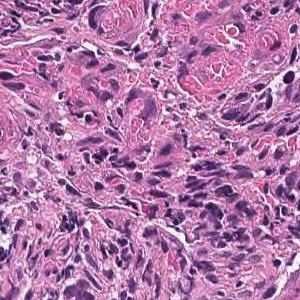
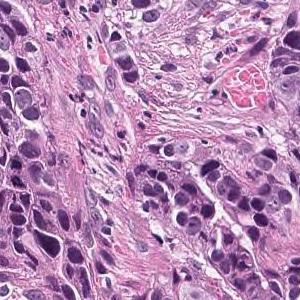
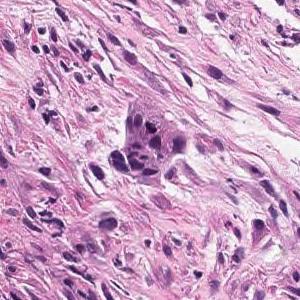
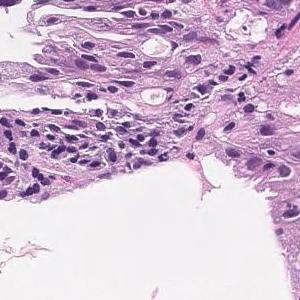
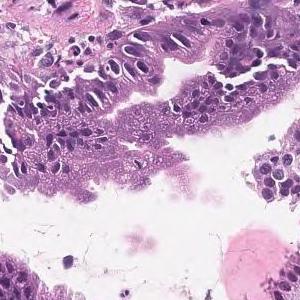
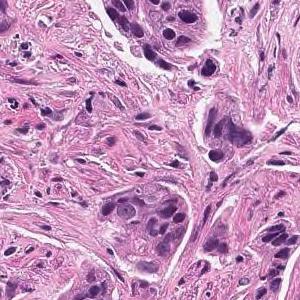
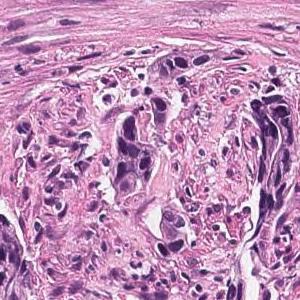
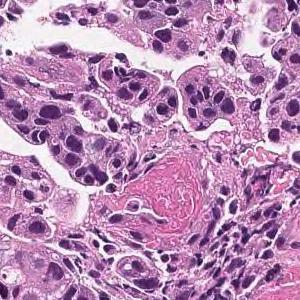
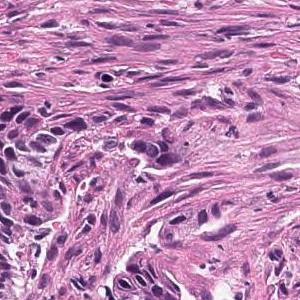
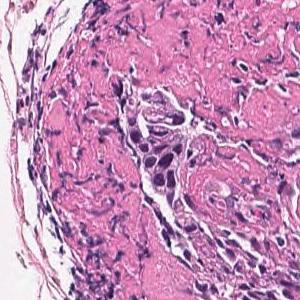
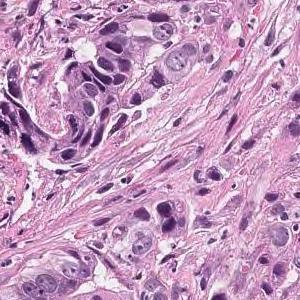
11 image tiles from a single gastric biopsy slide · each 300 × 300 pixels · hematoxylin and eosin stain.
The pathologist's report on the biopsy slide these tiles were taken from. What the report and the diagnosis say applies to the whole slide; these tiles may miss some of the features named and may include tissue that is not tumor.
Tumor cells are large, highly columnar, large club-shaped nuclei, and are associated with chromatin aggregation. Papillary adenocarcinoma.
